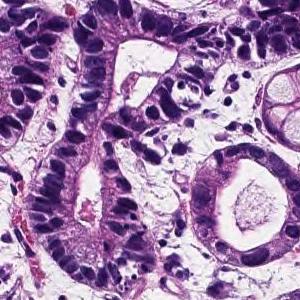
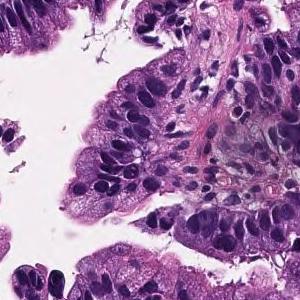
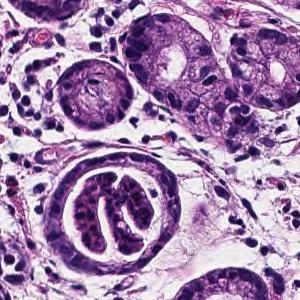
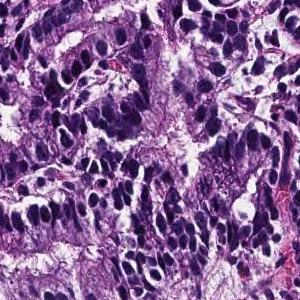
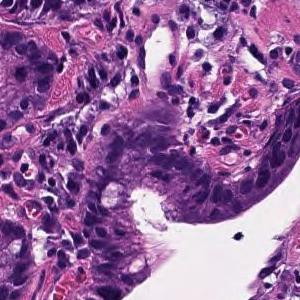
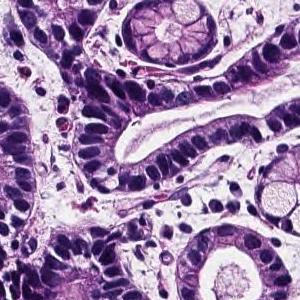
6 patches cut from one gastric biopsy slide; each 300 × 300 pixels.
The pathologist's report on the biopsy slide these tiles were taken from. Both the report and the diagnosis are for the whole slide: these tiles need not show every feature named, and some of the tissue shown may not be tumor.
Tumor cells are large, highly columnar, large club-shaped nuclei, and are associated with chromatin aggregation. Papillary adenocarcinoma.
